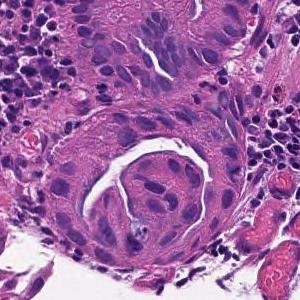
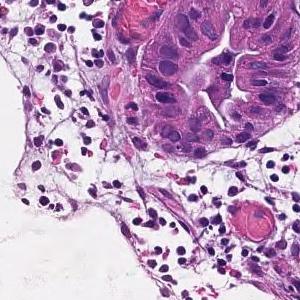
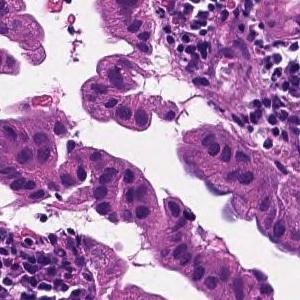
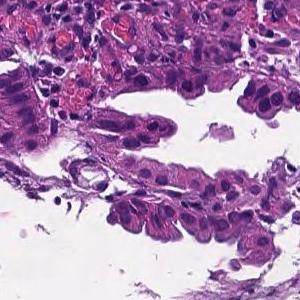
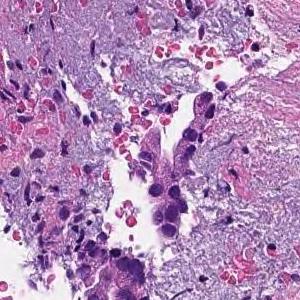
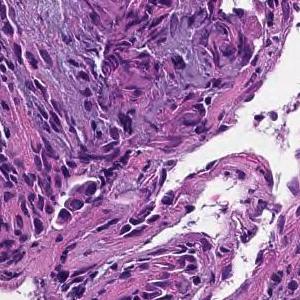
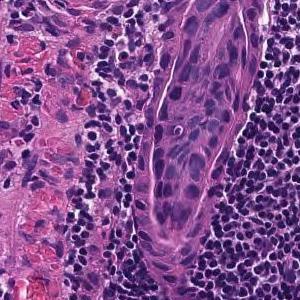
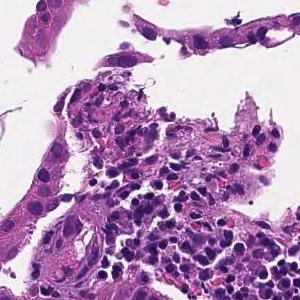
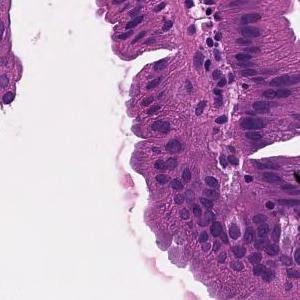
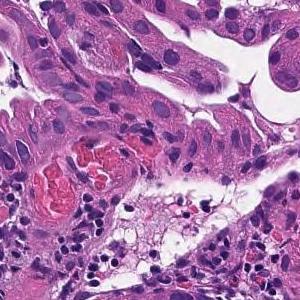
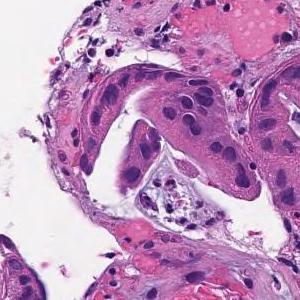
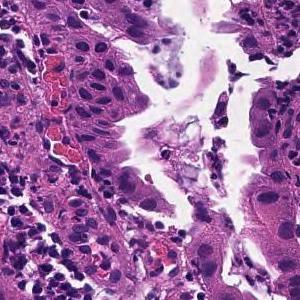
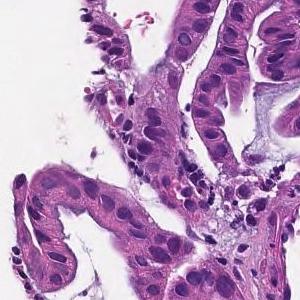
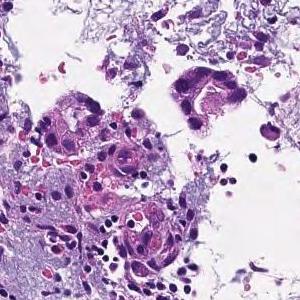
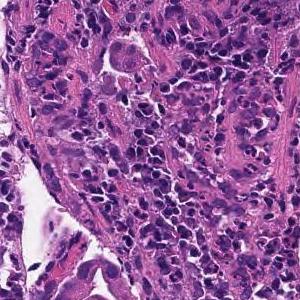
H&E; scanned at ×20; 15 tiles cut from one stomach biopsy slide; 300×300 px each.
Diagnostic report for the slide these tiles come from. The report describes the whole slide, diagnosis included: not every finding it names need appear in these tiles, which may also show non-tumor tissue.
On the superficial epithelium, tumor tissue that infiltrates by forming medium-sized papillary or small irregular ducts is observed. Papillary adenocarcinoma
